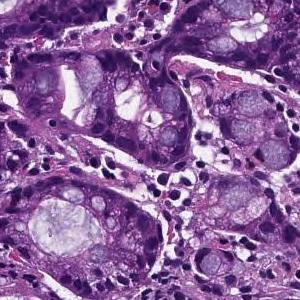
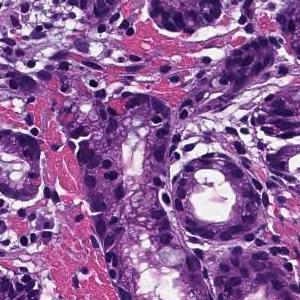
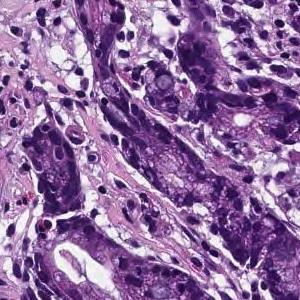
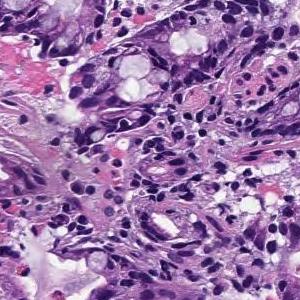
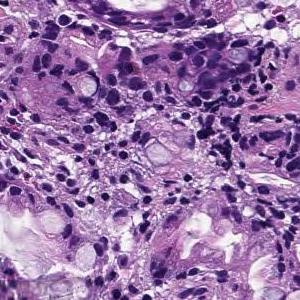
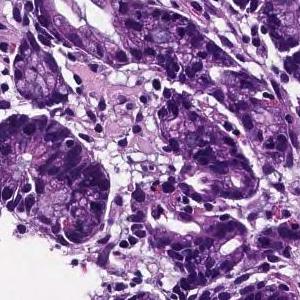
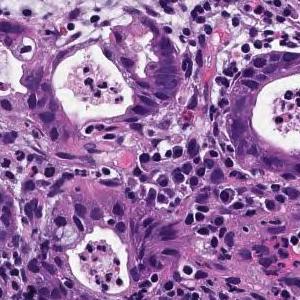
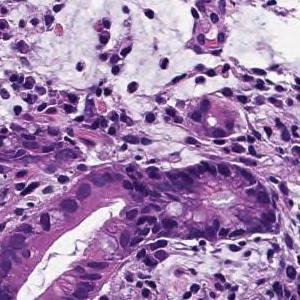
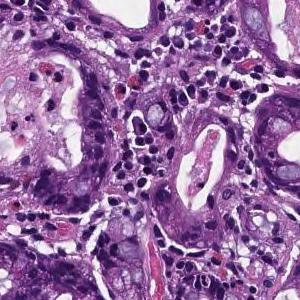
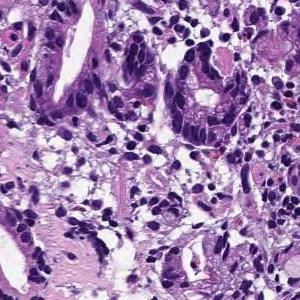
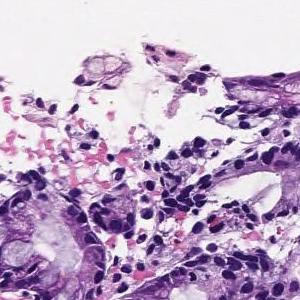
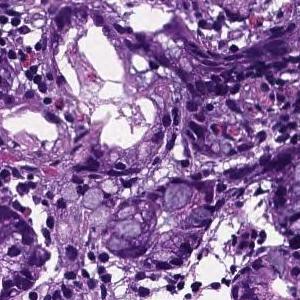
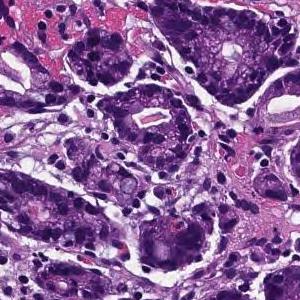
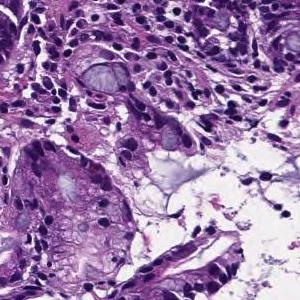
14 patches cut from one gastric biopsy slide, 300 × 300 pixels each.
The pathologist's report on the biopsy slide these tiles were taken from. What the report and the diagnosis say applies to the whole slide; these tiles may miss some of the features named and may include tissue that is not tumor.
Tumor tissue consisting of medium-sized, cord-like or irregular glandular infiltration is observed in the superficial epithelium. Poorly differentiated adenocarcinoma, non-solid type or moderately differentiated tubular adenocarcinoma
Classified as moderately to poorly differentiated adenocarcinoma.
"Non-solid type" is a category of the Japanese Classification of Gastric Carcinoma.
